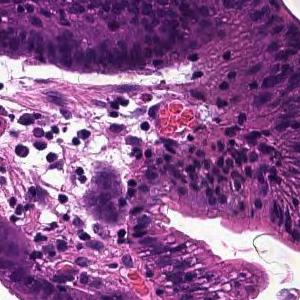
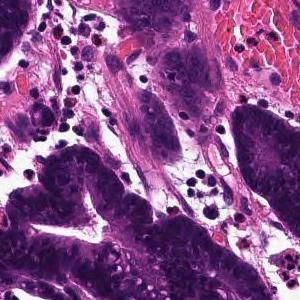
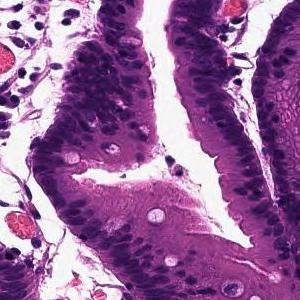
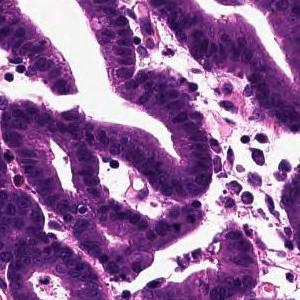
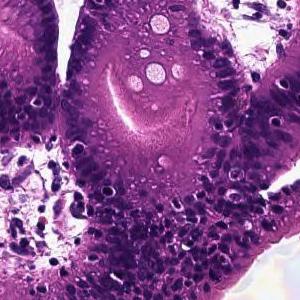
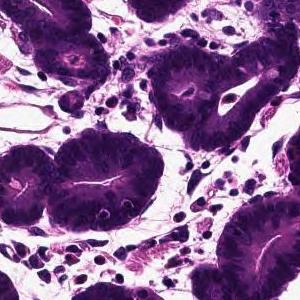
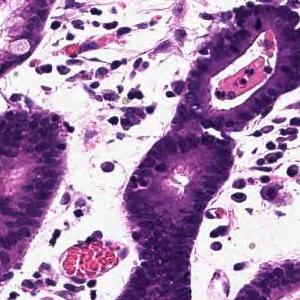
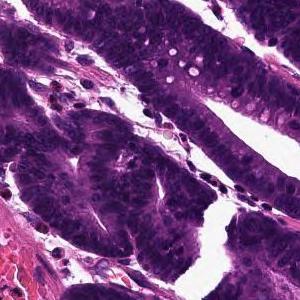
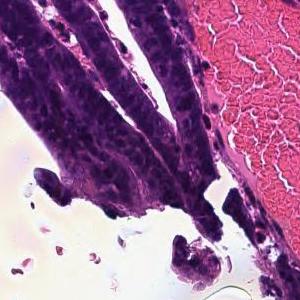
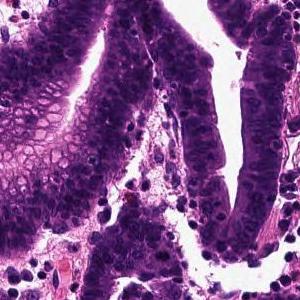
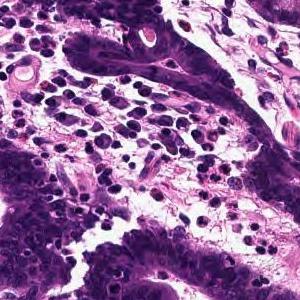
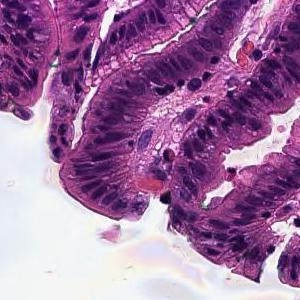
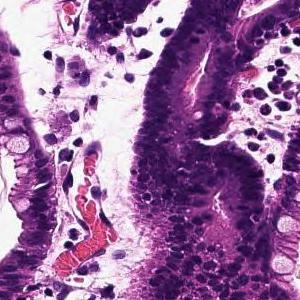
H&E, 13 tiles cut from one stomach biopsy slide.
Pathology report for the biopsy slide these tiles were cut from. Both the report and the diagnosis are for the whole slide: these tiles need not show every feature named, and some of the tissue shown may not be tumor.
Tumor tissue that infiltrates by forming large papillary or large irregular glandular ducts is observed confined to the mucosa. Papillary adenocarcinoma
